11 tiles from the same stomach biopsy slide, H&E, 20× magnification.
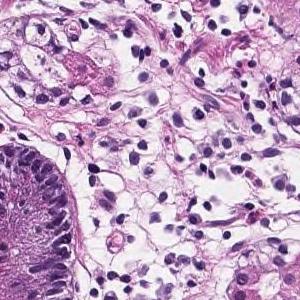
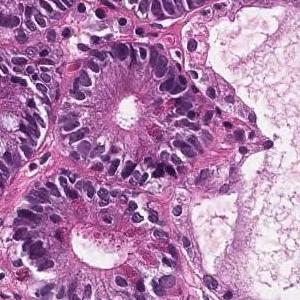
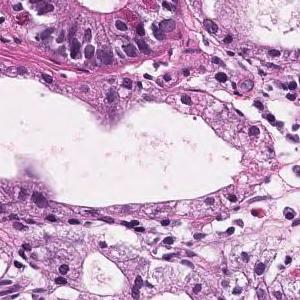
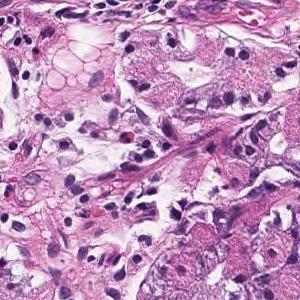
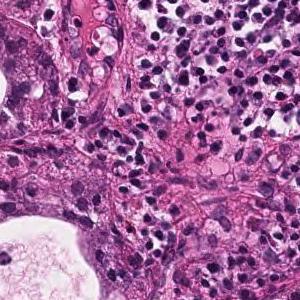
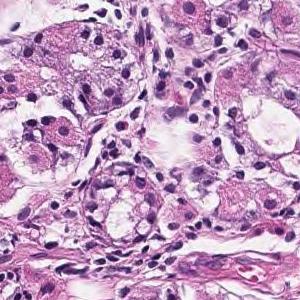
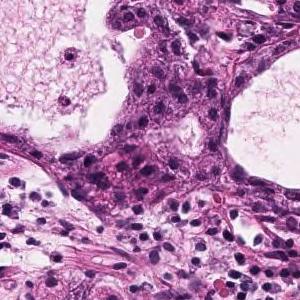
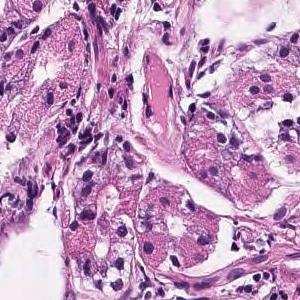
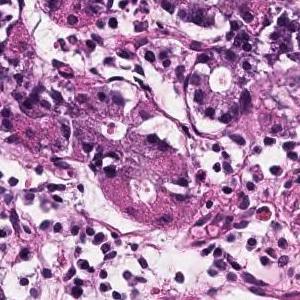
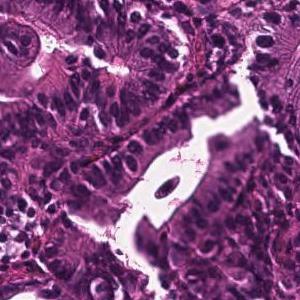
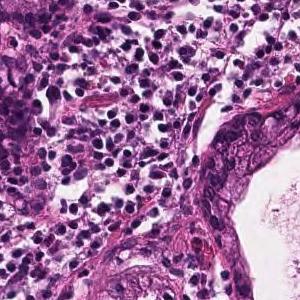
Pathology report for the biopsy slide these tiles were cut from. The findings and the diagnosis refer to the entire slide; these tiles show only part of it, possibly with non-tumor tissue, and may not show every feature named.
Tumor tissue in which medium to small irregular ducts infiltrate and proliferate in the submucosa can be seen in the epithelium. Well differentiated tubular adenocarcinoma
